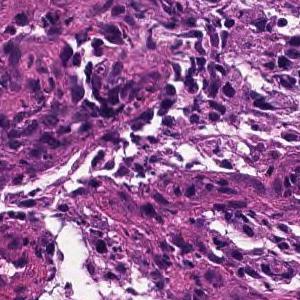
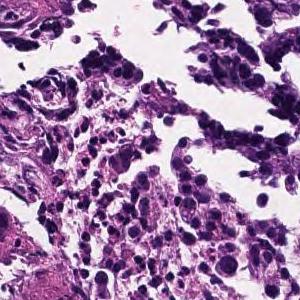
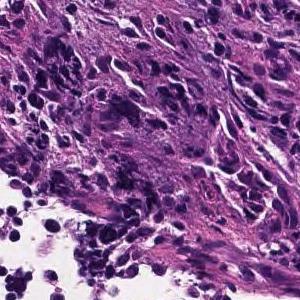
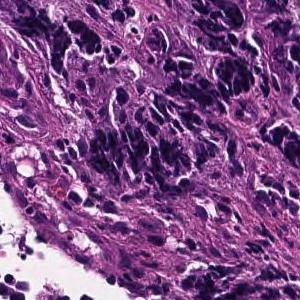
4 tiles cut from one stomach biopsy slide, 300 × 300 pixels each.
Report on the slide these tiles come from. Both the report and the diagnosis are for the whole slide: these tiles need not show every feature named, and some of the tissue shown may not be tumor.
The superficial epithelium shows a large sheet-like shape, and some tumor tissue infiltrates with small irregular ducts. Poorly differentiated adenocarcinoma, solid-type
Histologic type: Poorly differentiated adenocarcinoma, solid type. This name comes from the Japanese Classification of Gastric Carcinoma; the WHO 2019 classification calls it tubular adenocarcinoma, poorly differentiated.
